H&E, 5 patches cut from one gastric biopsy slide.
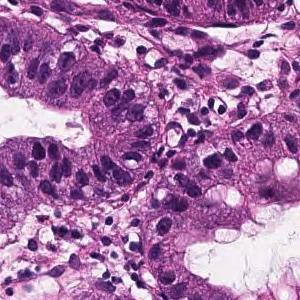
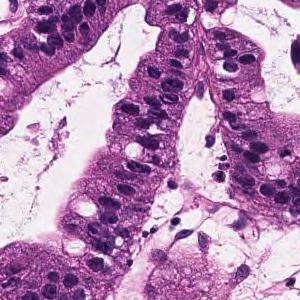
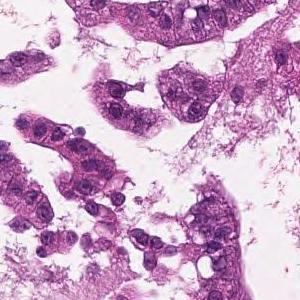
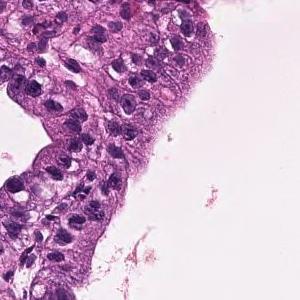
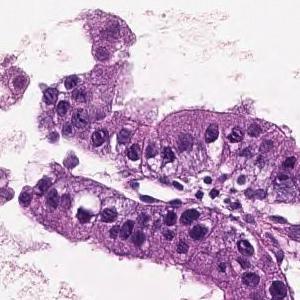
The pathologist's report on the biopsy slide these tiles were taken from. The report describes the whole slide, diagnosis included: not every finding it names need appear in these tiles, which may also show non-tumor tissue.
On the superficial epithelium, tumor tissue that infiltrates by forming medium-sized papillary or small irregular ducts is observed. Papillary adenocarcinoma
